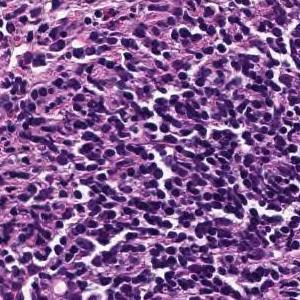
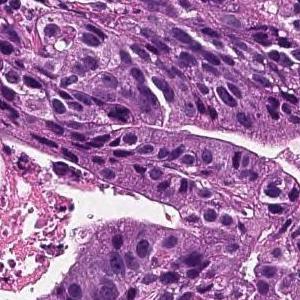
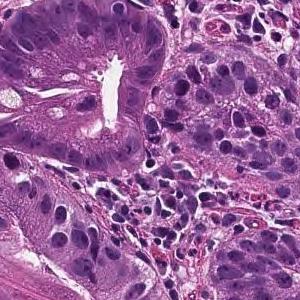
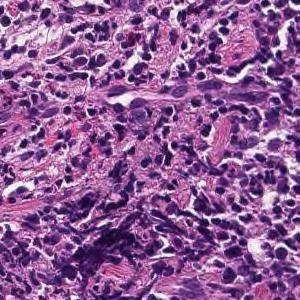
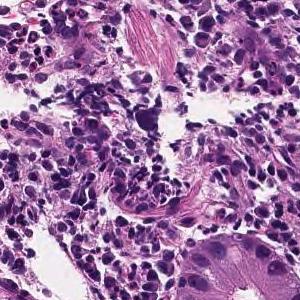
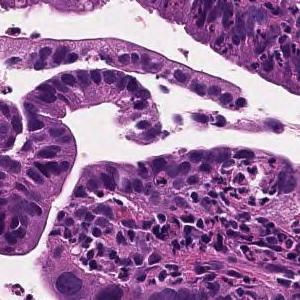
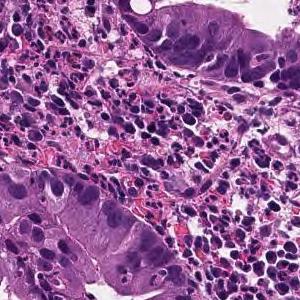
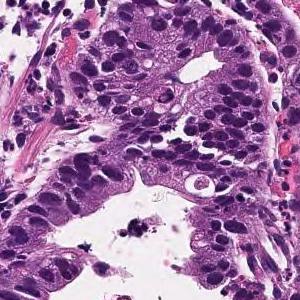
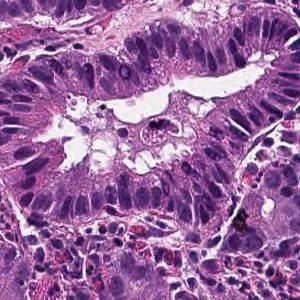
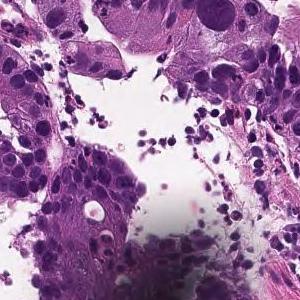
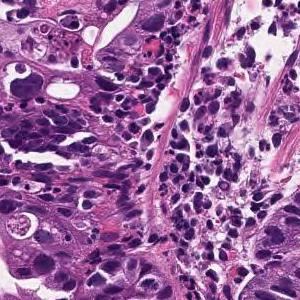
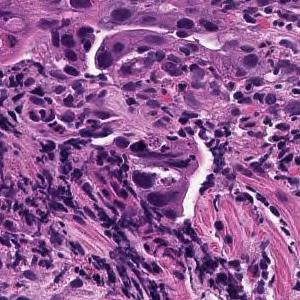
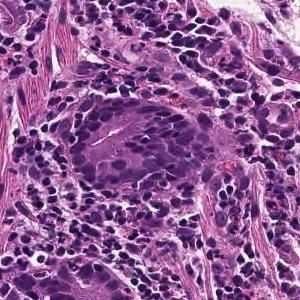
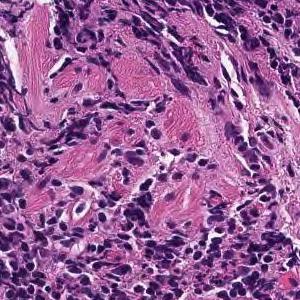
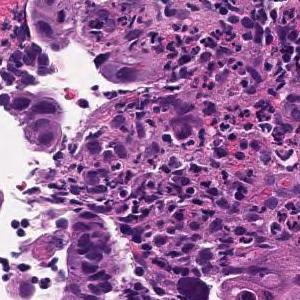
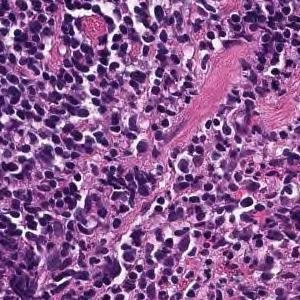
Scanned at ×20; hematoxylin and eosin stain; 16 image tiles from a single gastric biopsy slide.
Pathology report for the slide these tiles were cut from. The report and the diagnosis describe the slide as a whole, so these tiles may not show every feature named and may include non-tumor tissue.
From the superficial epithelium to the muscularis mucosae, tumor tissue consisting of medium-sized and irregular glandular ducts infiltrating is observed. Well differentiated tubular adenocarcinoma
